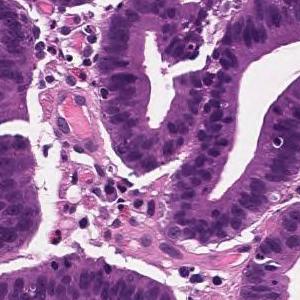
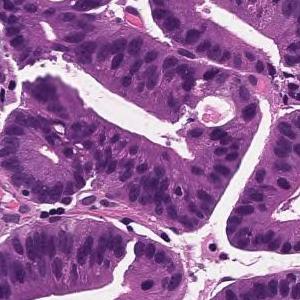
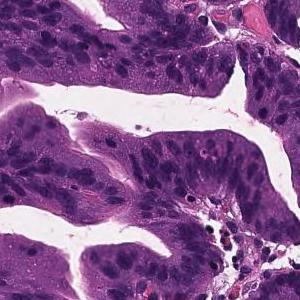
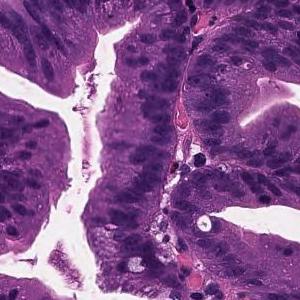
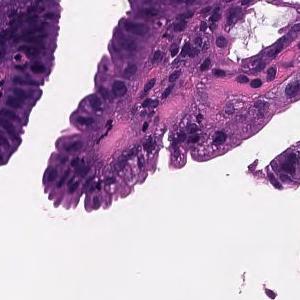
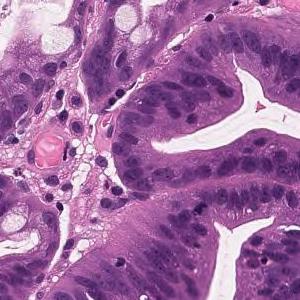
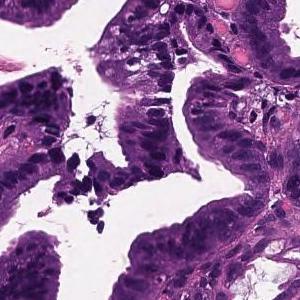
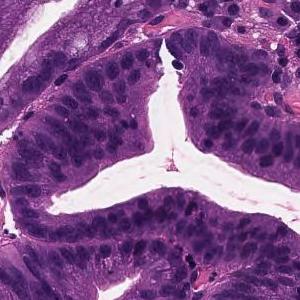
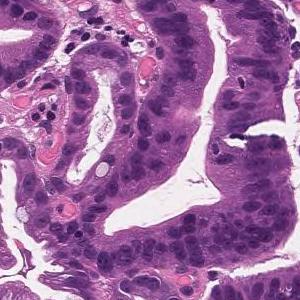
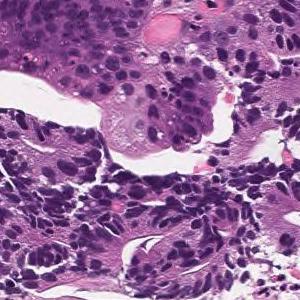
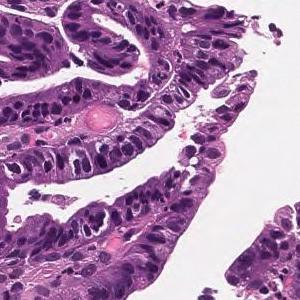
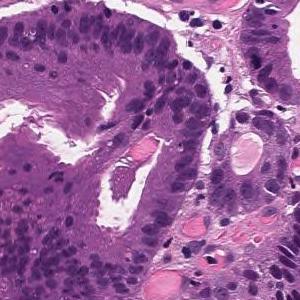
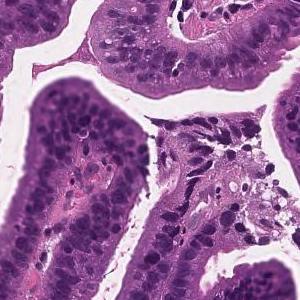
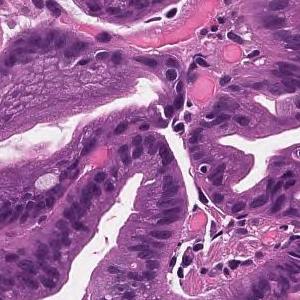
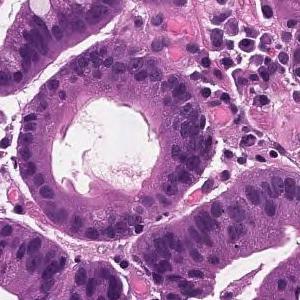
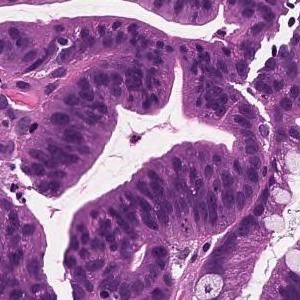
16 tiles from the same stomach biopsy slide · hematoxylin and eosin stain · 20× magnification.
Diagnostic report for the slide these tiles come from. The report and the diagnosis cover the entire slide, so not every feature they name need be visible here, and some tissue shown may not be tumor.
Tumor cells are large, highly columnar, large club-shaped nuclei, and are associated with chromatin aggregation. Papillary adenocarcinoma.
